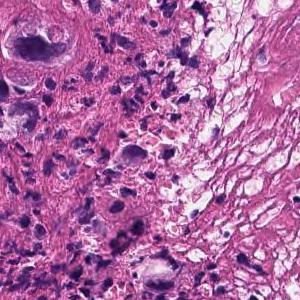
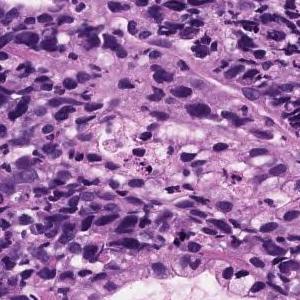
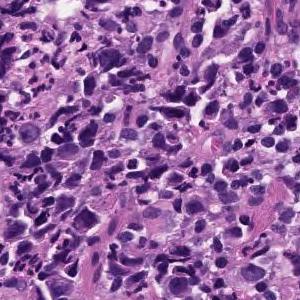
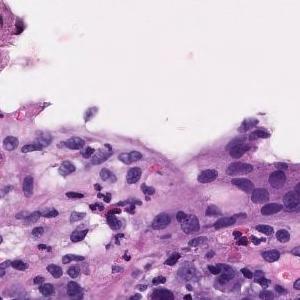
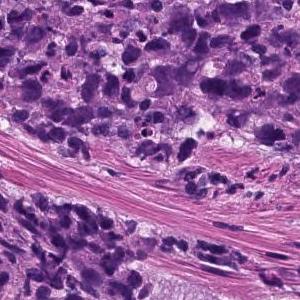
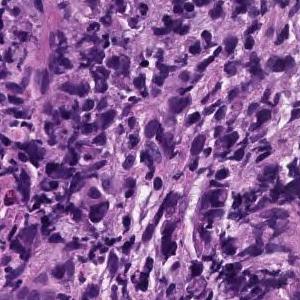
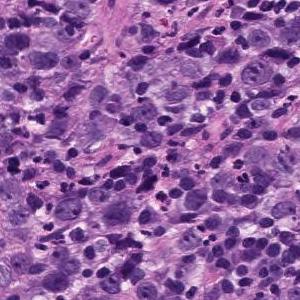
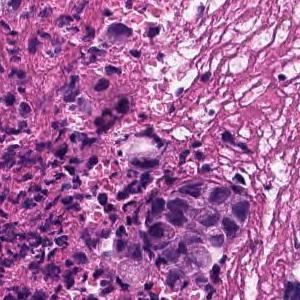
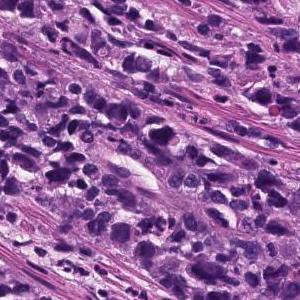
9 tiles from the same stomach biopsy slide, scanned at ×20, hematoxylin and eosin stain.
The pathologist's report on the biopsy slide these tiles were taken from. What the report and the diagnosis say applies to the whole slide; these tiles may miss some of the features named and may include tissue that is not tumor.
Poorly differentiated, solid adenocarcinoma (poorly differentiated adenocarcinoma, solid type) with tumor tissue diffusely infiltrated with atypical epithelial cells
Histological subtype: Poorly differentiated adenocarcinoma, solid type (Japanese Classification of Gastric Carcinoma). The WHO 2019 equivalent is tubular adenocarcinoma, poorly differentiated.
